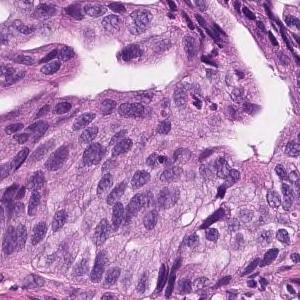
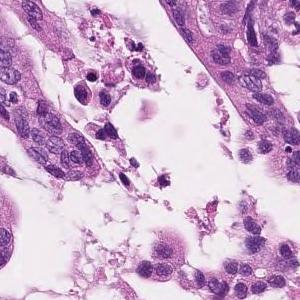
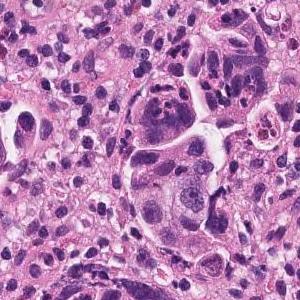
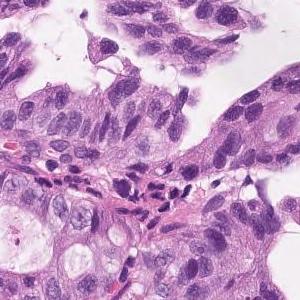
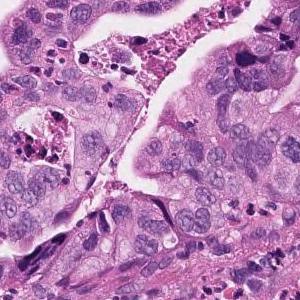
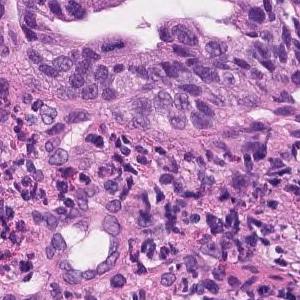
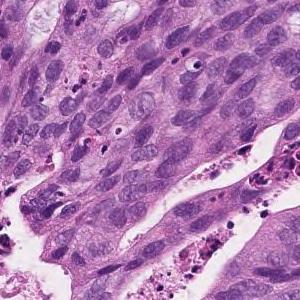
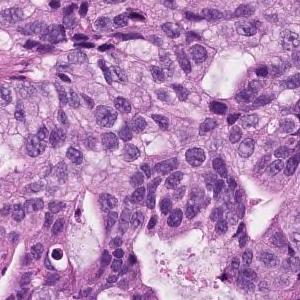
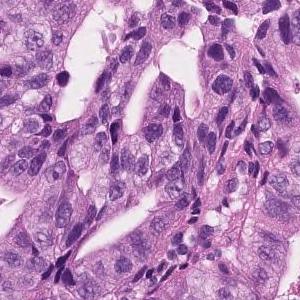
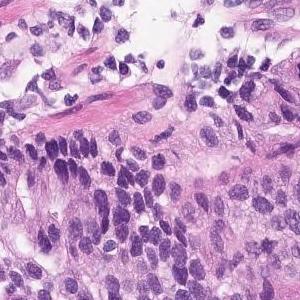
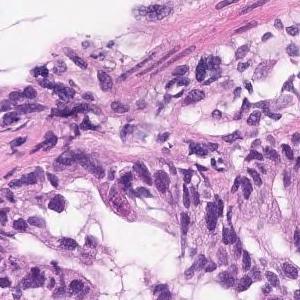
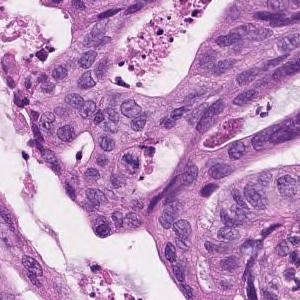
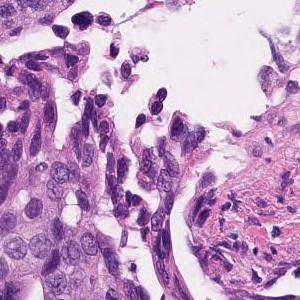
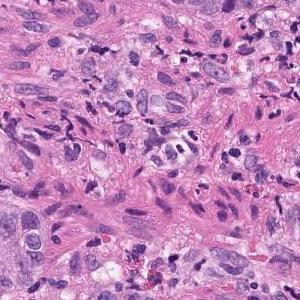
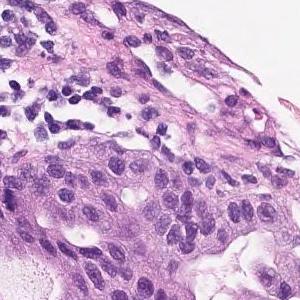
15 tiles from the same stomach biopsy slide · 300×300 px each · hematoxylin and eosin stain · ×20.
Report on the slide these tiles come from. The report and the diagnosis cover the entire slide, so not every feature they name need be visible here, and some tissue shown may not be tumor.
Atypical epithelium forming papillary or sieving ducts and infiltrating growth is observed. Papillary adenocarcinoma.
